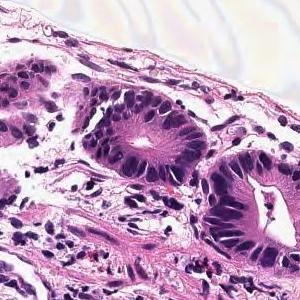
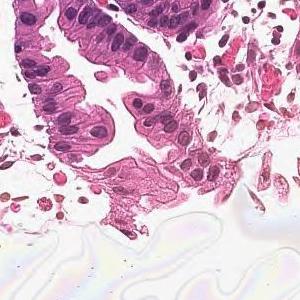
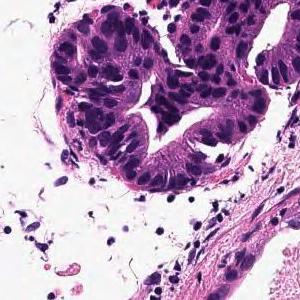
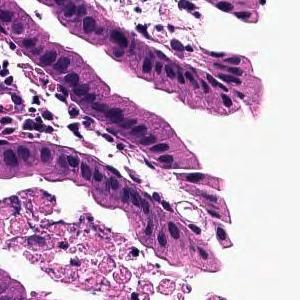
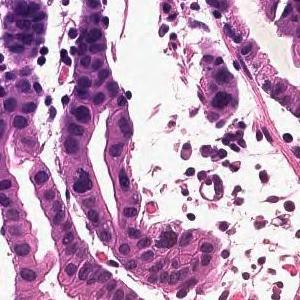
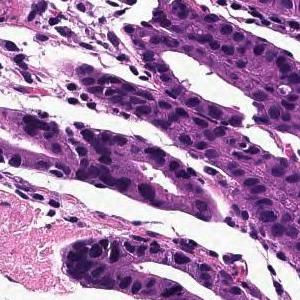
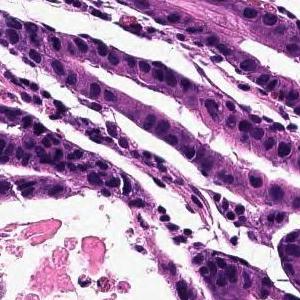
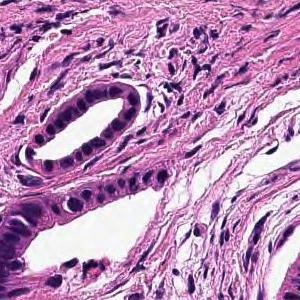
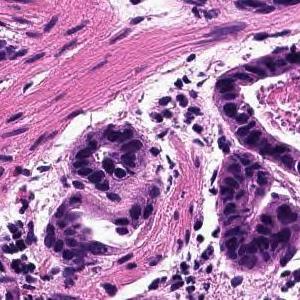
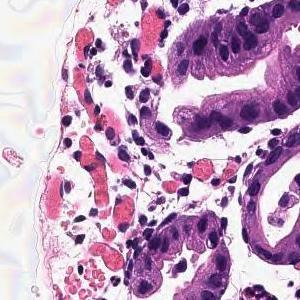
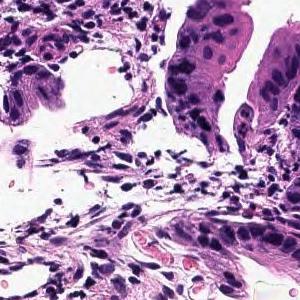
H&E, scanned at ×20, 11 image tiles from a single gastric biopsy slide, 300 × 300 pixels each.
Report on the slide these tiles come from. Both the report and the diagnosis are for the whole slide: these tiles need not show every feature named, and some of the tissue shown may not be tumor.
From the superficial epithelium to the muscularis mucosae, tumor tissue consisting of medium-sized and irregular glandular ducts infiltrating is observed. Well differentiated tubular adenocarcinoma
